×20, H&E, 4 tiles from the same stomach biopsy slide.
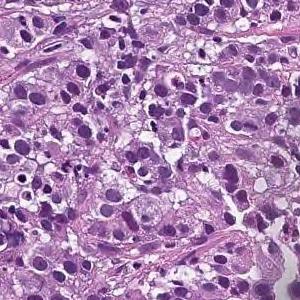
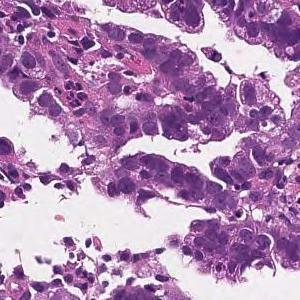
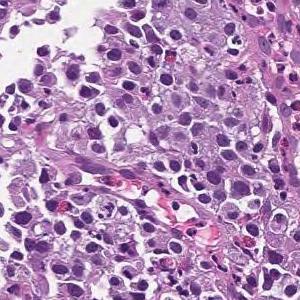
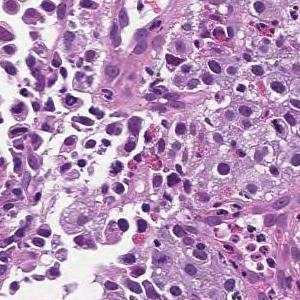
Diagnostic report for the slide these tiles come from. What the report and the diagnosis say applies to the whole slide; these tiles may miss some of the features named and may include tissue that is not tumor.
The superficial epithelium shows a large sheet-like shape, and some tumor tissue infiltrates with small irregular ducts. Poorly differentiated adenocarcinoma, solid-type
Histological subtype: Poorly differentiated adenocarcinoma, solid type. This name comes from the Japanese Classification of Gastric Carcinoma; the WHO 2019 classification calls it tubular adenocarcinoma, poorly differentiated.
